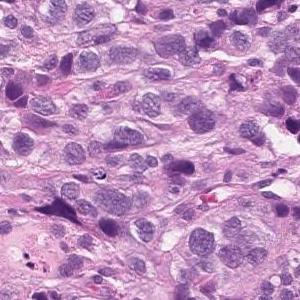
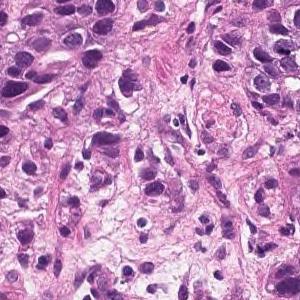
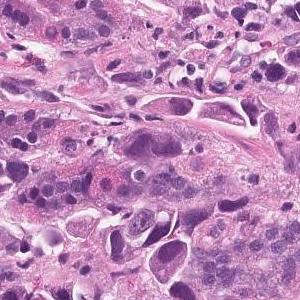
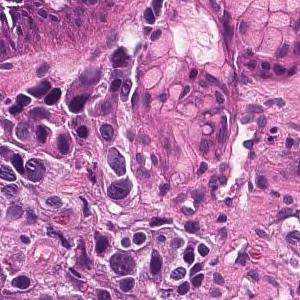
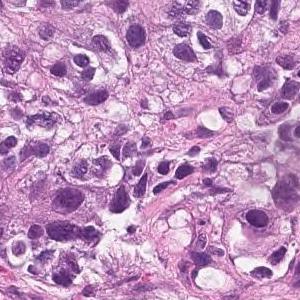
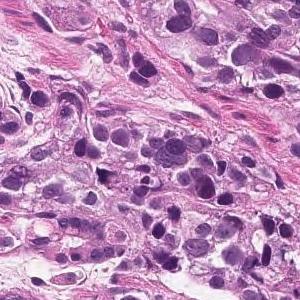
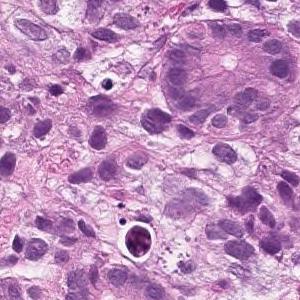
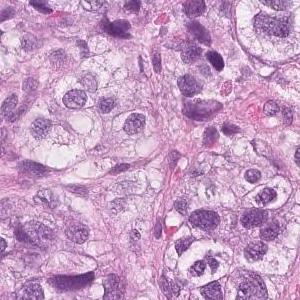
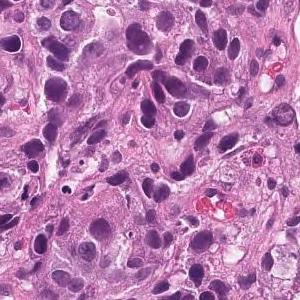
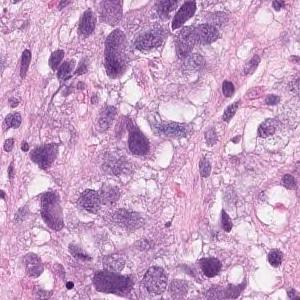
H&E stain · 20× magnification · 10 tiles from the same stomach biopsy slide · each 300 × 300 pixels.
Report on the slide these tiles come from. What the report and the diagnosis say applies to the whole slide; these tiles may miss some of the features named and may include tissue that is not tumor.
Tumor tissue that infiltrates the epithelium in an alveolar manner. Poorly differentiated adenocarcinoma, solid-type
Histologic type: Poorly differentiated adenocarcinoma, solid type. This name comes from the Japanese Classification of Gastric Carcinoma; the WHO 2019 classification calls it tubular adenocarcinoma, poorly differentiated.
